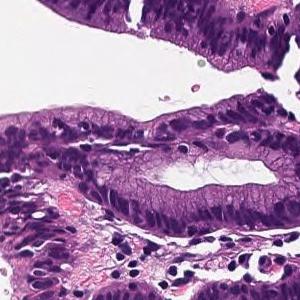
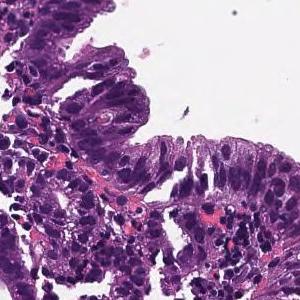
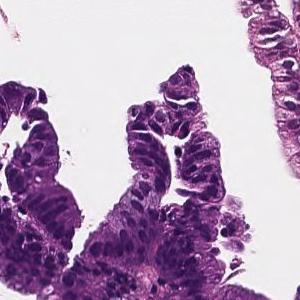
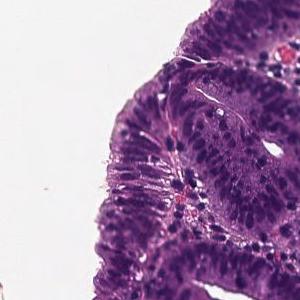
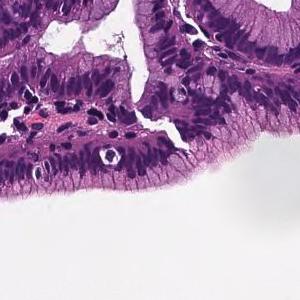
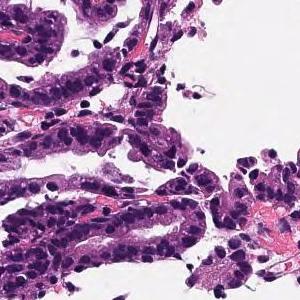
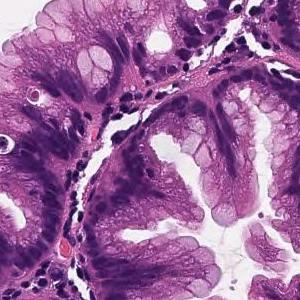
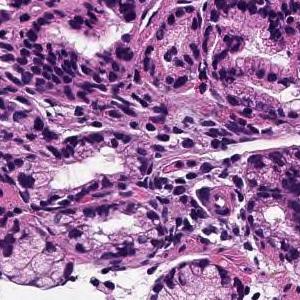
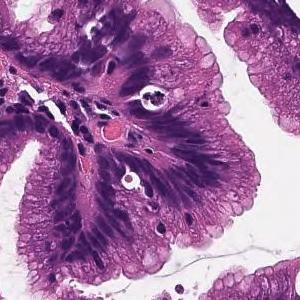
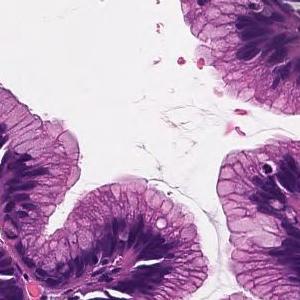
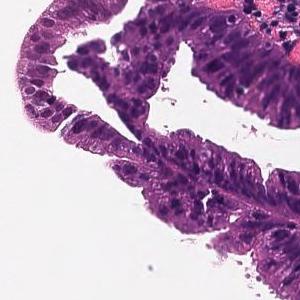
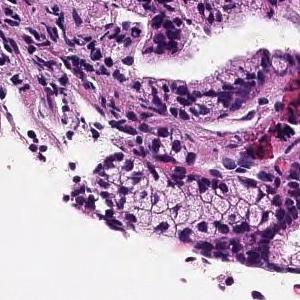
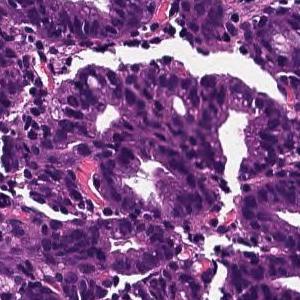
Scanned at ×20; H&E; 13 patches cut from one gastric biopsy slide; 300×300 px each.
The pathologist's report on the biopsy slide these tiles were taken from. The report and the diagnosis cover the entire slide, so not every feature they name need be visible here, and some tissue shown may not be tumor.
Cells with elliptical or atypical nuclei form dense ducts with relatively clear growth. Well differentiated tubular adenocarcinoma
